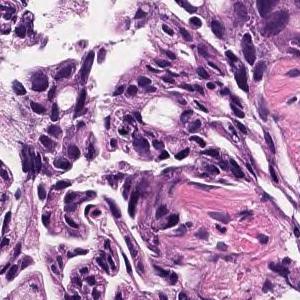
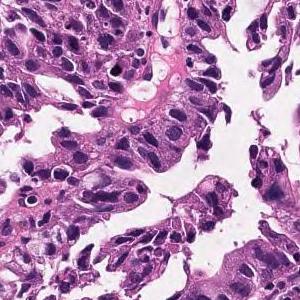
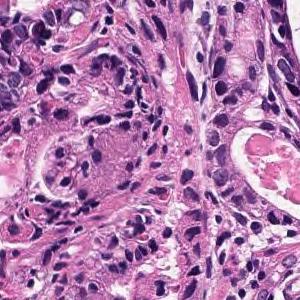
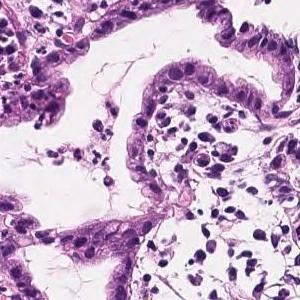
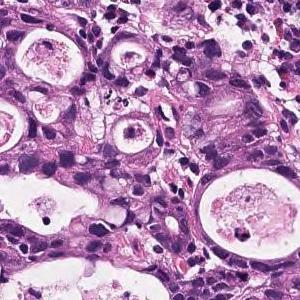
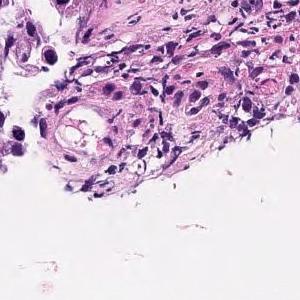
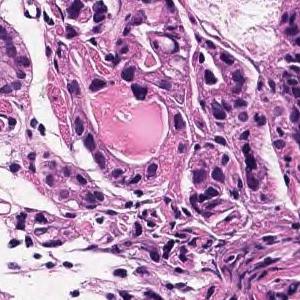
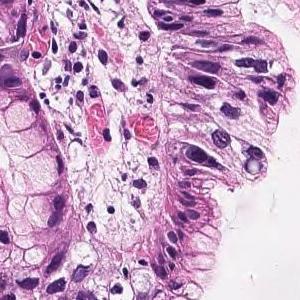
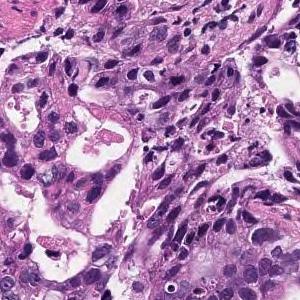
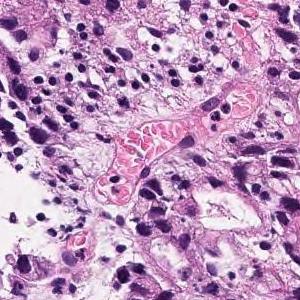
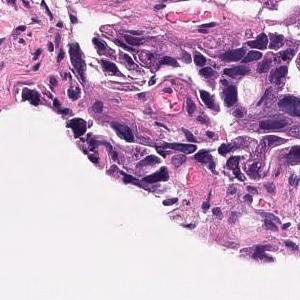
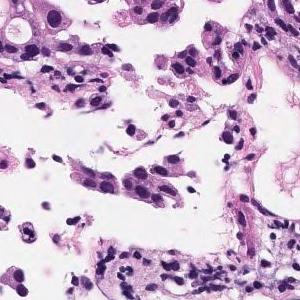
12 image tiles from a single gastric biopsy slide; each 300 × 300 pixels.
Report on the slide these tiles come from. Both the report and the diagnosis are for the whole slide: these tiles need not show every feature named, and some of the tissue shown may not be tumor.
In the superficial epithelium, tumor tissue that invades by forming medium-sized to small, irregular ducts is observed. Moderately differentiated adenocarcinoma.
Histologic type: Moderately differentiated tubular adenocarcinoma.
